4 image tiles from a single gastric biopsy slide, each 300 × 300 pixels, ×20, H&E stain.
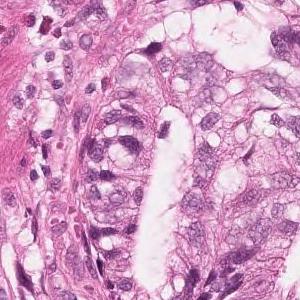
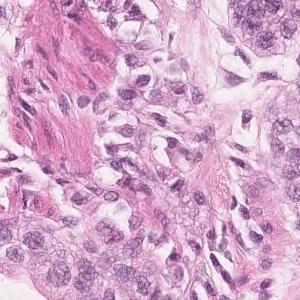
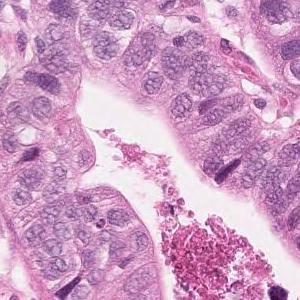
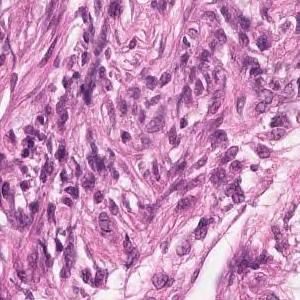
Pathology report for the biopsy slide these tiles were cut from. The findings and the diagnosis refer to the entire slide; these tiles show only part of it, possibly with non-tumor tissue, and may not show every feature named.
Highly columnar epithelium with disordered nuclear localization proliferates showing fusion ductal construction. moderately differentiated tubular adenocarcinoma
